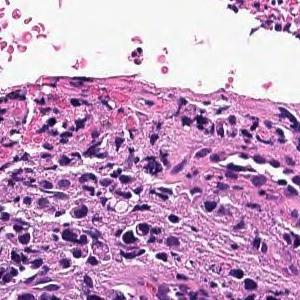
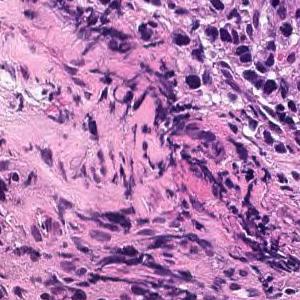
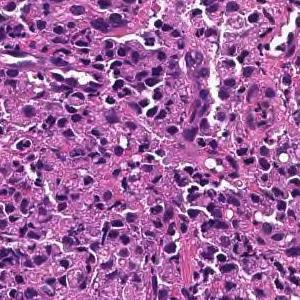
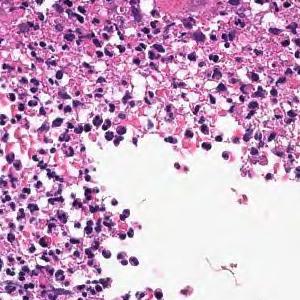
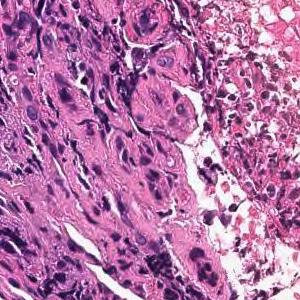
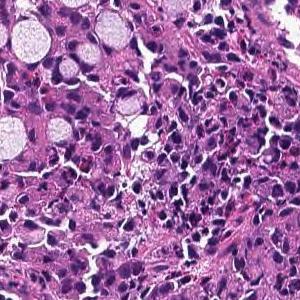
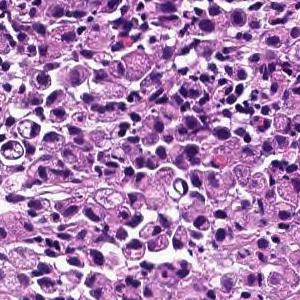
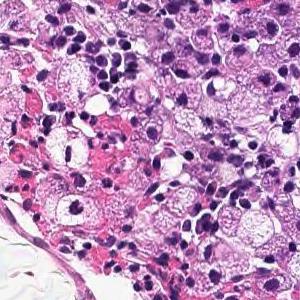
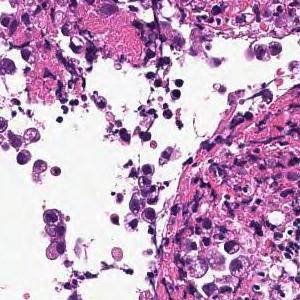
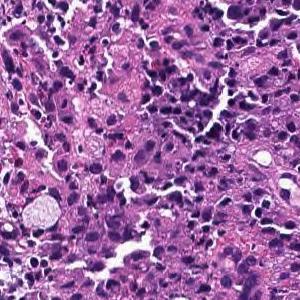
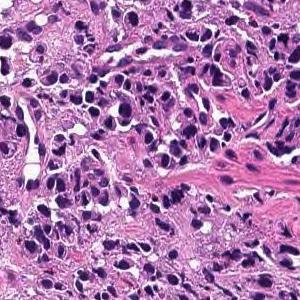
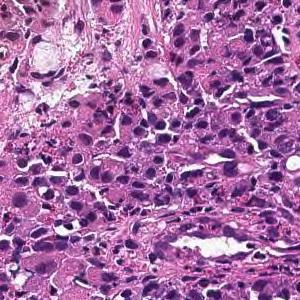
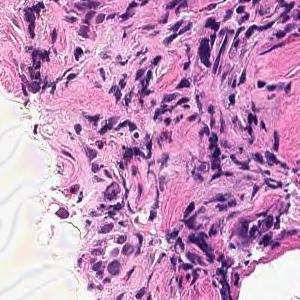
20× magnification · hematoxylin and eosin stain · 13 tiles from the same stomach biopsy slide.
The pathologist's report on the biopsy slide these tiles were taken from. Both the report and the diagnosis are for the whole slide: these tiles need not show every feature named, and some of the tissue shown may not be tumor.
Tumor tissue consisting of diffusely infiltrated large atypical epithelial cells or signet ring atypical cells is observed in the superficial epithelium. Poorly differentiated adenocarcinoma, solid-type
Histologic type: Poorly differentiated adenocarcinoma, solid type (Japanese Classification of Gastric Carcinoma). The WHO 2019 equivalent is tubular adenocarcinoma, poorly differentiated.
